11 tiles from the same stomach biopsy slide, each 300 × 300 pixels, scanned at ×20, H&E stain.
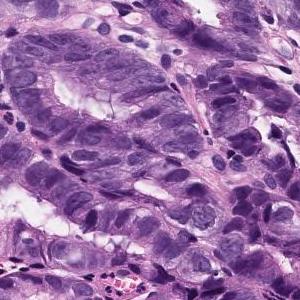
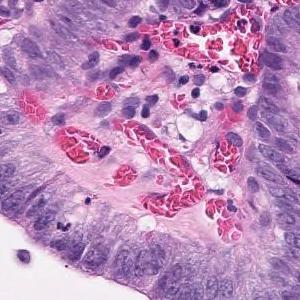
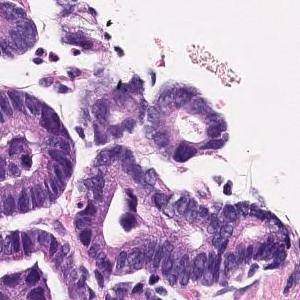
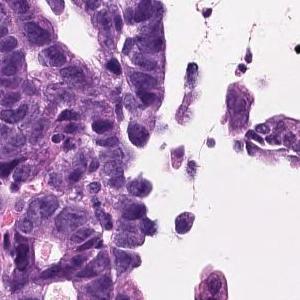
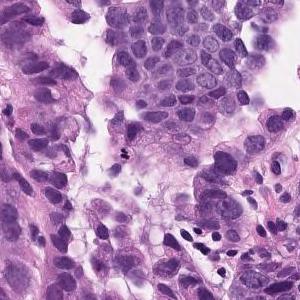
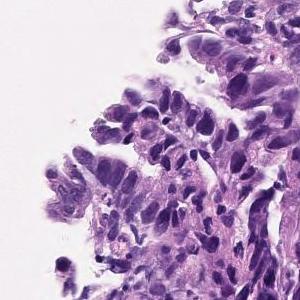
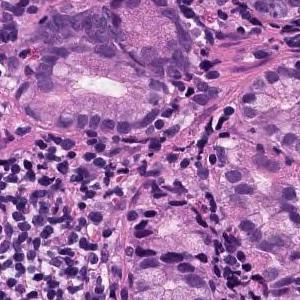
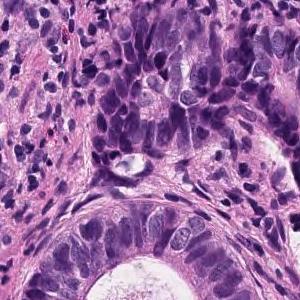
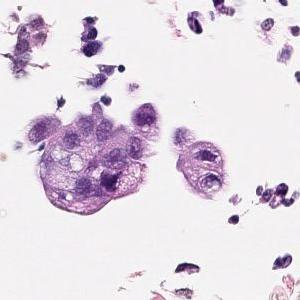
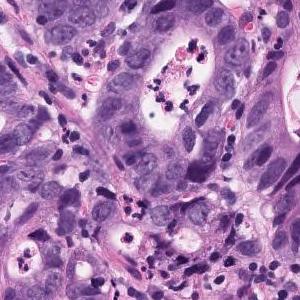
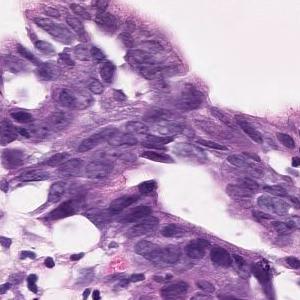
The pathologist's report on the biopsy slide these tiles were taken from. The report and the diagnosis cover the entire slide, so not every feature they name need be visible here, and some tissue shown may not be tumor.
The swollen atypical epithelium of the nucleus forms an irregular ductal structure and proliferates. moderately differentiated tubular adenocarcinoma
